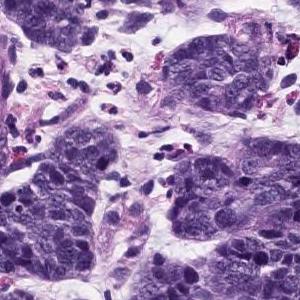
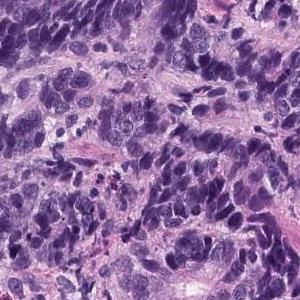
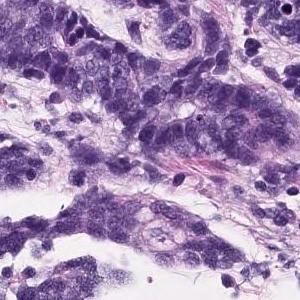
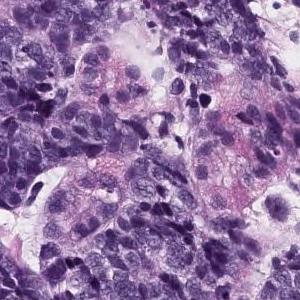
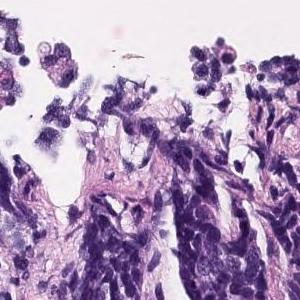
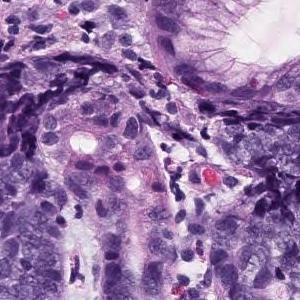
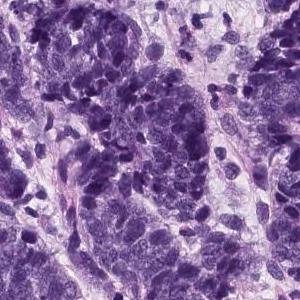
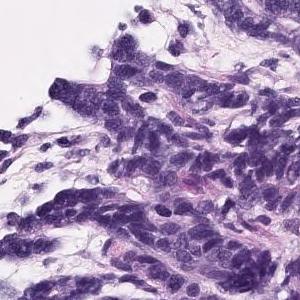
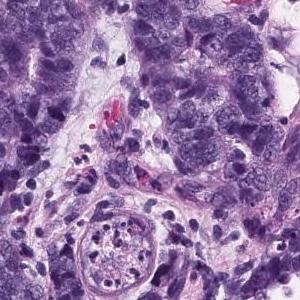
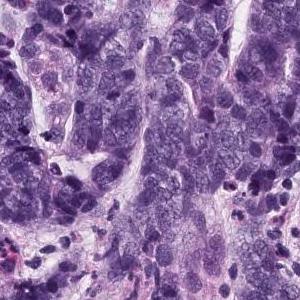
20× magnification; H&E stain; 10 patches cut from one gastric biopsy slide; 300×300 px each.
Pathology report for the slide these tiles were cut from. Both the report and the diagnosis are for the whole slide: these tiles need not show every feature named, and some of the tissue shown may not be tumor.
Group 5, Adenocarcinoma. Moderately to poorly differentiated adenocarcinoma
